9 tiles from the same stomach biopsy slide; hematoxylin and eosin stain.
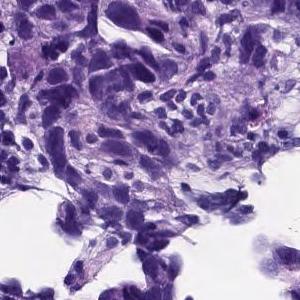
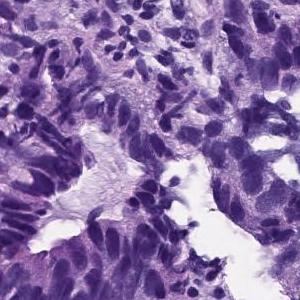
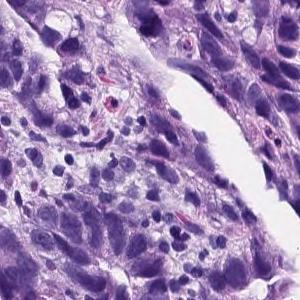
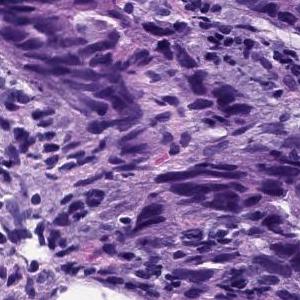
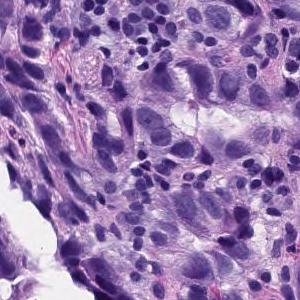
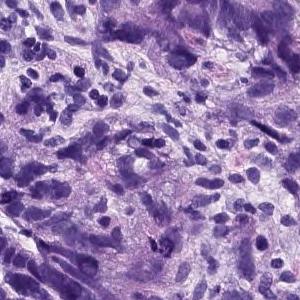
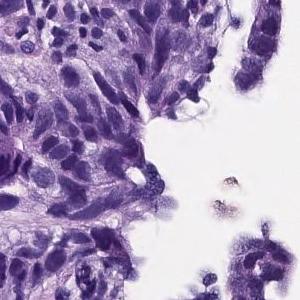
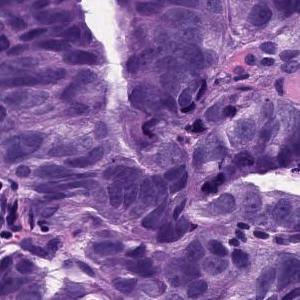
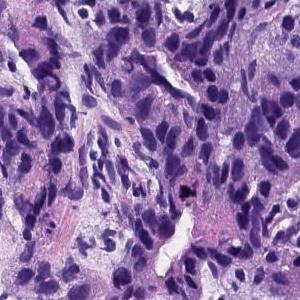
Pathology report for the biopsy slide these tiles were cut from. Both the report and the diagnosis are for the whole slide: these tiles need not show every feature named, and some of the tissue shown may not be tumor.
In the superficial epithelium, tumor tissue that invades by forming medium-sized to small, irregular ducts is observed. Moderately differentiated adenocarcinoma.
Subtype: Moderately differentiated tubular adenocarcinoma.
